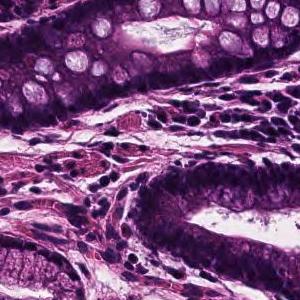
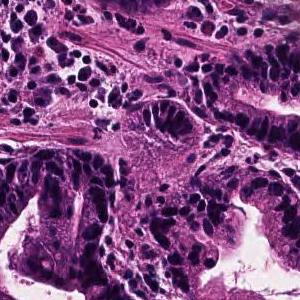
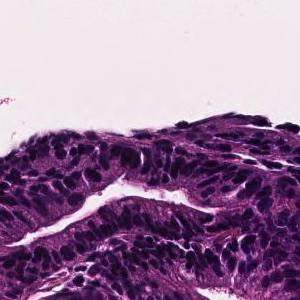
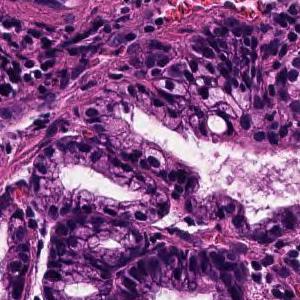
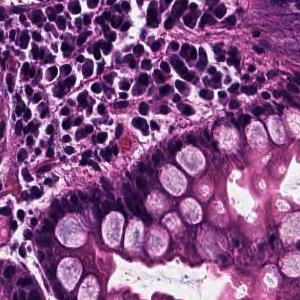
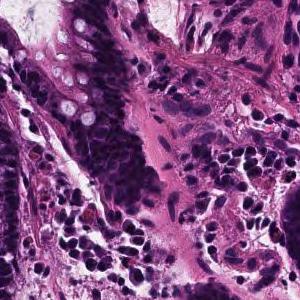
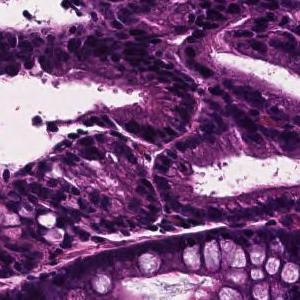
7 patches cut from one gastric biopsy slide, 300 × 300 pixels each, 20× magnification, H&E.
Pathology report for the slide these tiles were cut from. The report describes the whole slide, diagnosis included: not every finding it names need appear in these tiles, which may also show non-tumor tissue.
In the superficial epithelium, tumor tissue infiltrated by partial fusion of medium-sized to small, irregular glandular ducts is observed. moderately differentiated tubular adenocarcinoma
